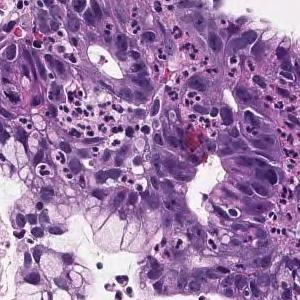
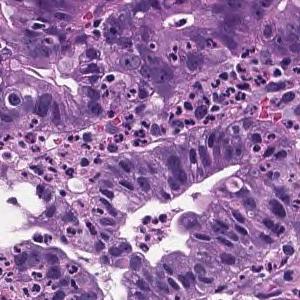
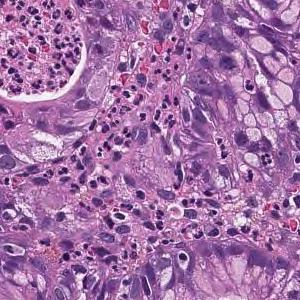
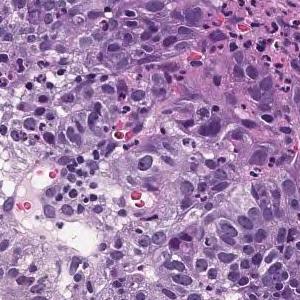
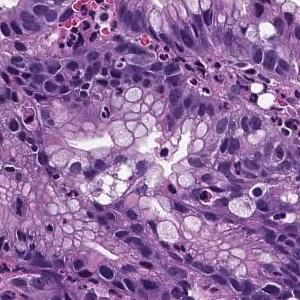
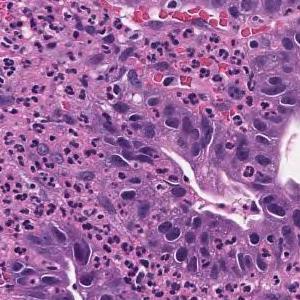
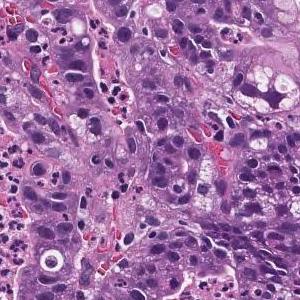
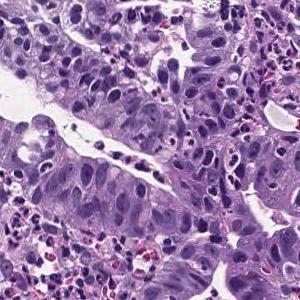
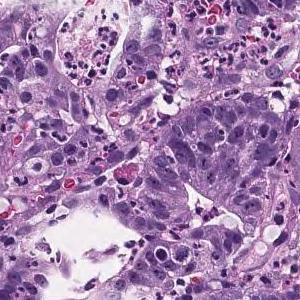
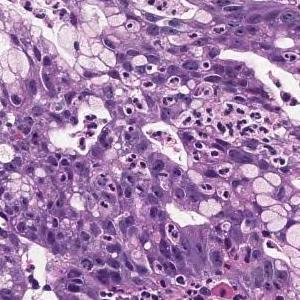
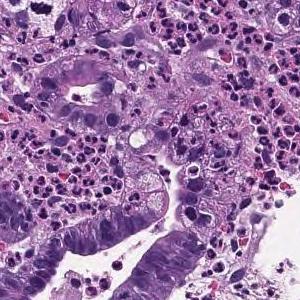
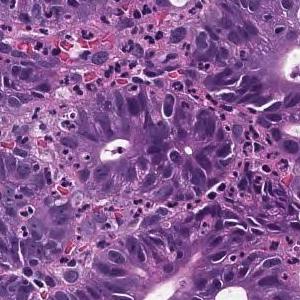
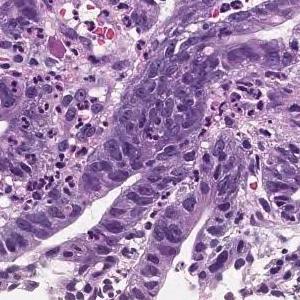
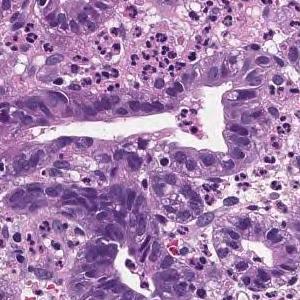
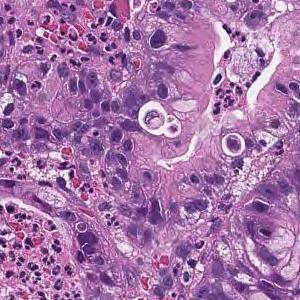
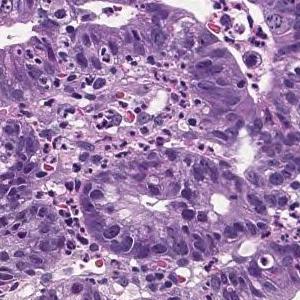
20× magnification, 16 patches cut from one gastric biopsy slide, each 300 × 300 pixels.
Pathology report for the biopsy slide these tiles were cut from. The findings and the diagnosis refer to the entire slide; these tiles show only part of it, possibly with non-tumor tissue, and may not show every feature named.
In the superficial epithelium, tumor tissue that invades by forming medium-sized to small, irregular ducts is observed. Well differentiated tubular adenocarcinoma.
